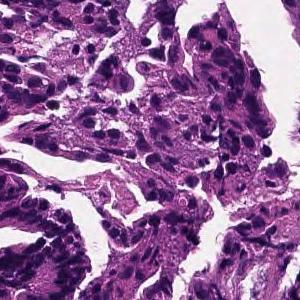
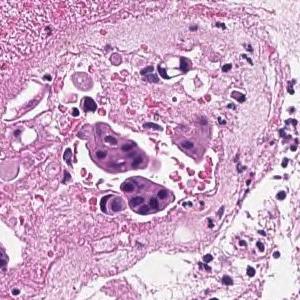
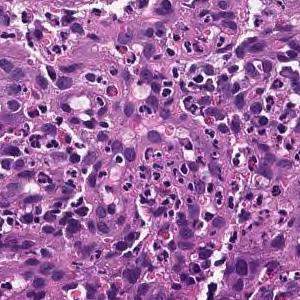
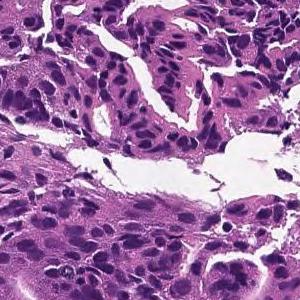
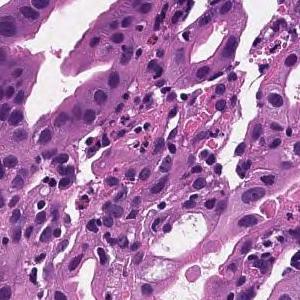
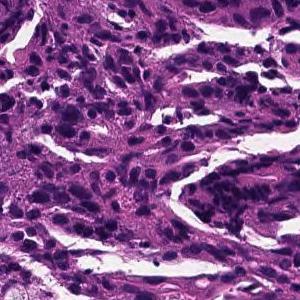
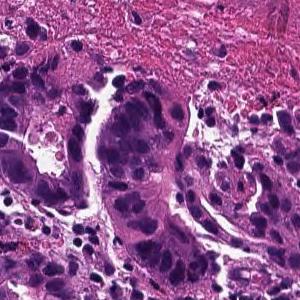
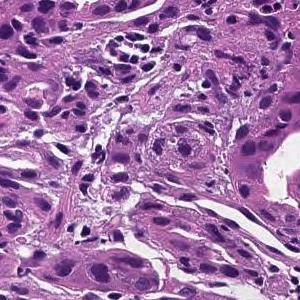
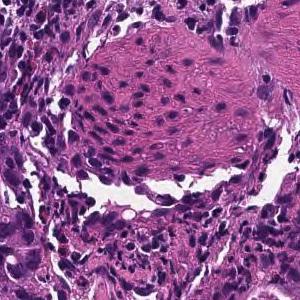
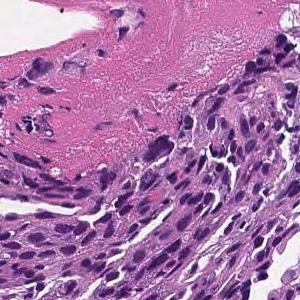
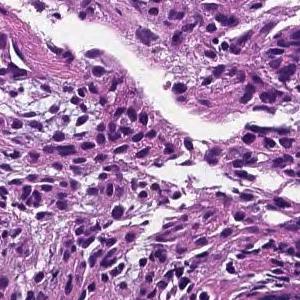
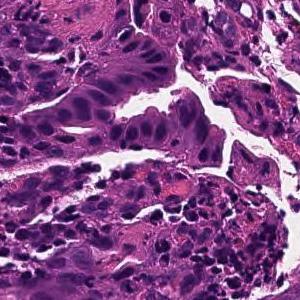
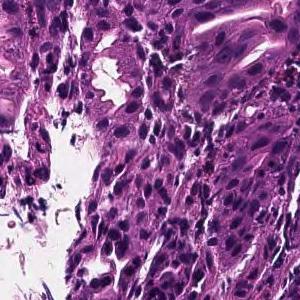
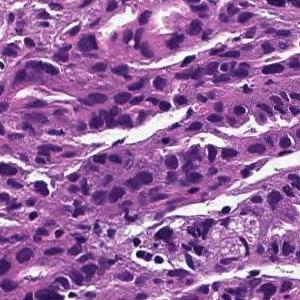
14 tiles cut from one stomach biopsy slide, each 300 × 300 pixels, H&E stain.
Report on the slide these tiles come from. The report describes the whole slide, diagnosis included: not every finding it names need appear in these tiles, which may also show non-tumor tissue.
In the superficial epithelium, tumor tissue that invades by forming medium-sized to small, irregular ducts is observed. moderately differentiated tubular adenocarcinoma.
